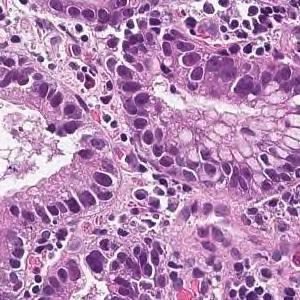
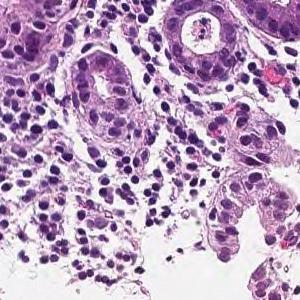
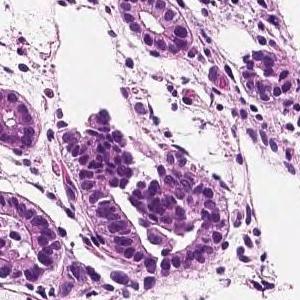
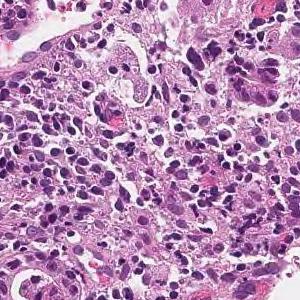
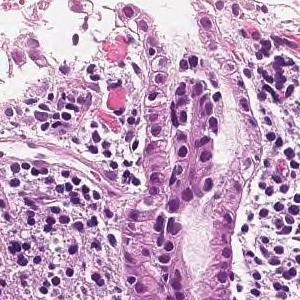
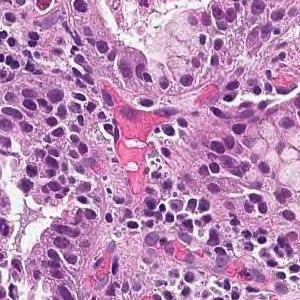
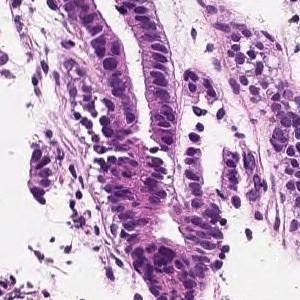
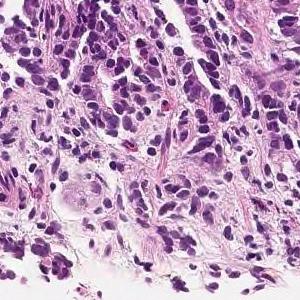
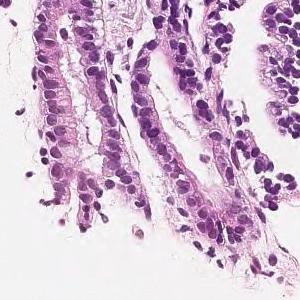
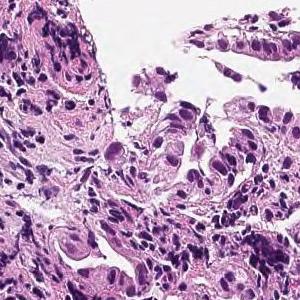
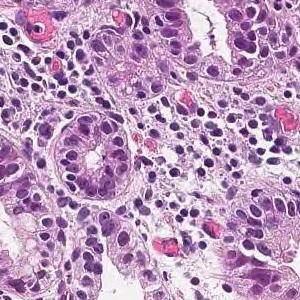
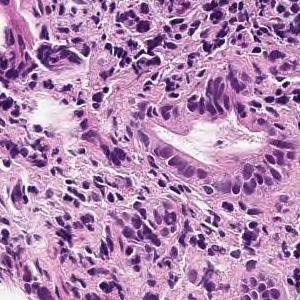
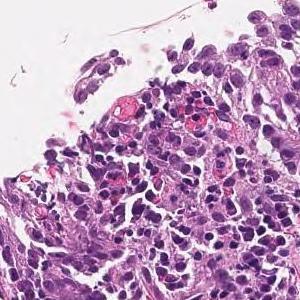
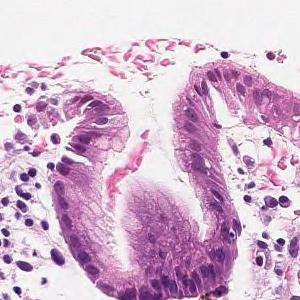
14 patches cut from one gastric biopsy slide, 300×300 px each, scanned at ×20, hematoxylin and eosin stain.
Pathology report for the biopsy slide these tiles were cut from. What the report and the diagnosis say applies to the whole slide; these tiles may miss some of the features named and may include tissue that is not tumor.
In the superficial epithelium, tumor tissue that invades by forming medium-sized to small, irregular ducts is observed. moderately differentiated tubular adenocarcinoma.
